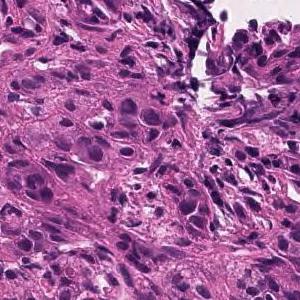
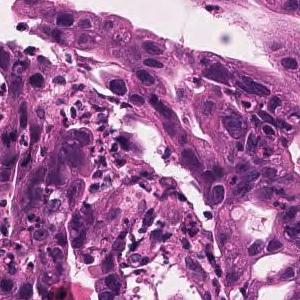
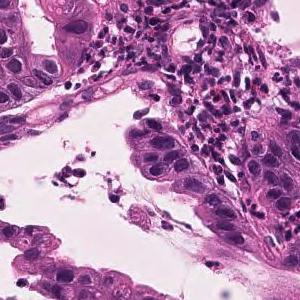
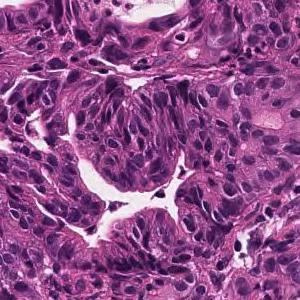
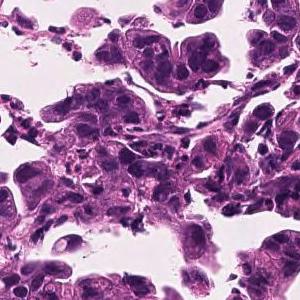
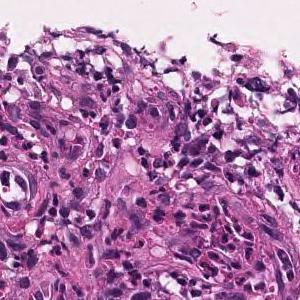
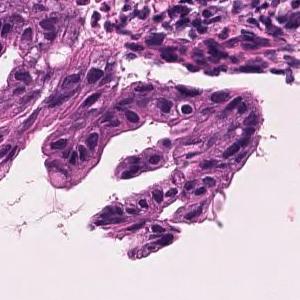
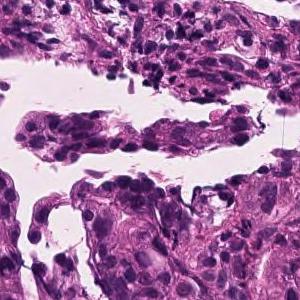
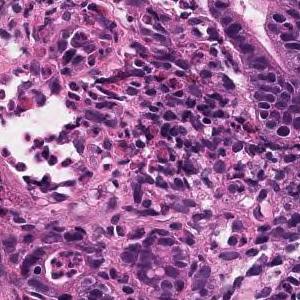
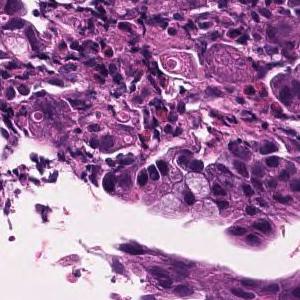
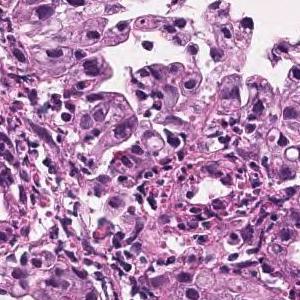
H&E stain; 20× magnification; 11 tiles from the same stomach biopsy slide.
Pathology report for the slide these tiles were cut from. The report and the diagnosis describe the slide as a whole, so these tiles may not show every feature named and may include non-tumor tissue.
Tumor tissue consisting of medium-sized, cord-like or irregular glandular infiltration is observed in the superficial epithelium. Poorly differentiated adenocarcinoma, non-solid type or moderately differentiated tubular adenocarcinoma
The term "non-solid type" comes from the Japanese Classification of Gastric Carcinoma.
